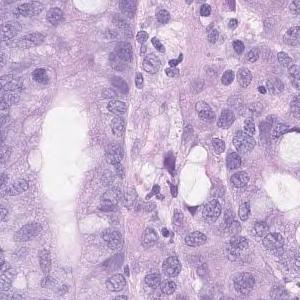
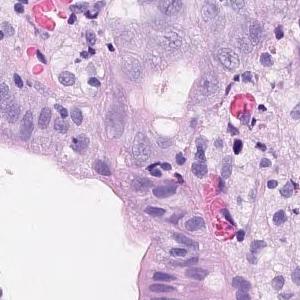
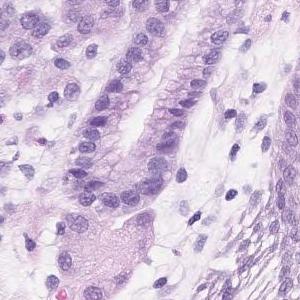
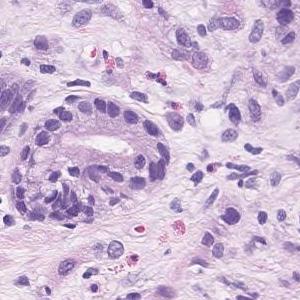
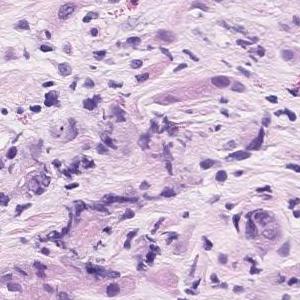
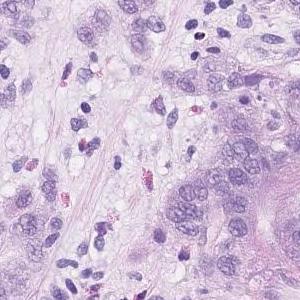
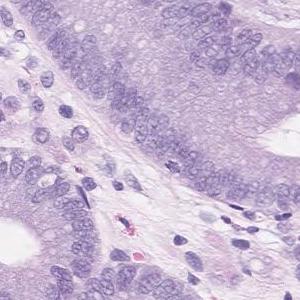
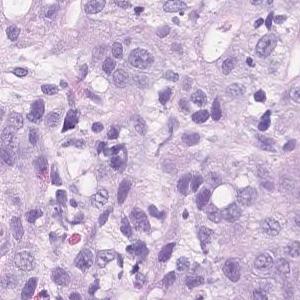
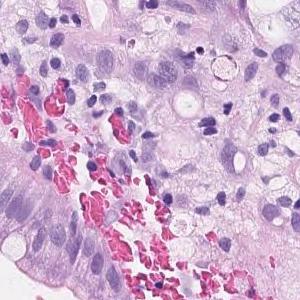
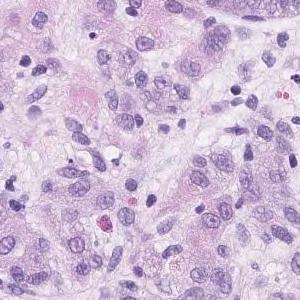
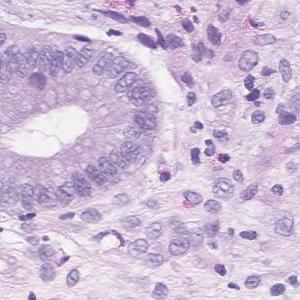
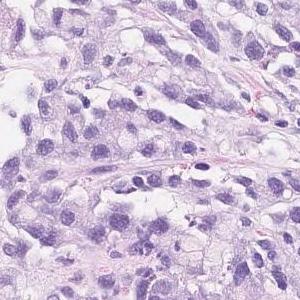
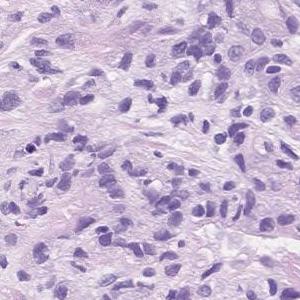
13 patches cut from one gastric biopsy slide; 20× magnification; H&E stain.
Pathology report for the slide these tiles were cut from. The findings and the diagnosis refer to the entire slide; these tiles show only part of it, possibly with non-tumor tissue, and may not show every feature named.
Group 5, Adenocarcinoma. Poorly differentiated adenocarcinoma, non-solid type
The term "non-solid type" comes from the Japanese Classification of Gastric Carcinoma.
